13 tiles cut from one stomach biopsy slide.
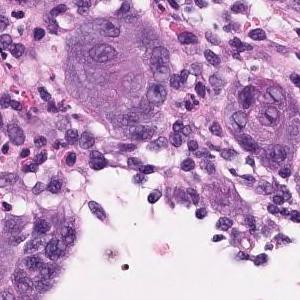
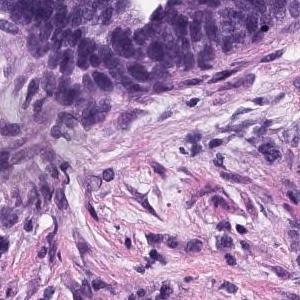
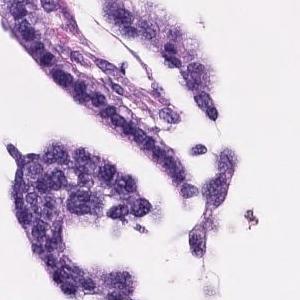
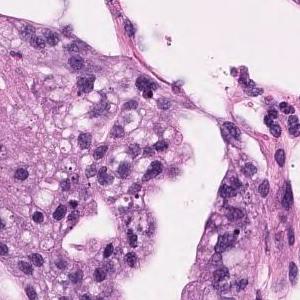
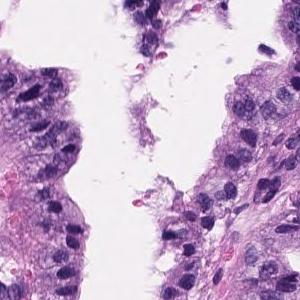
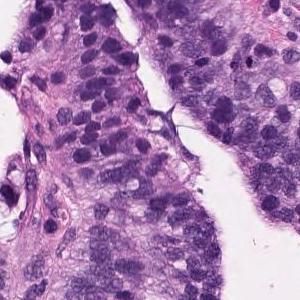
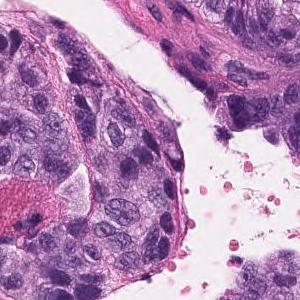
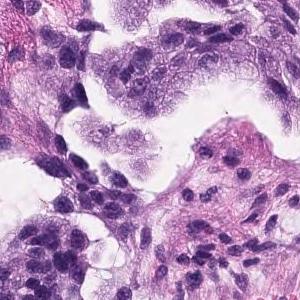
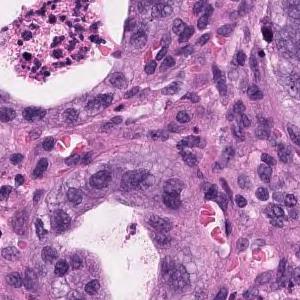
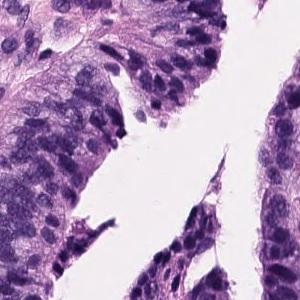
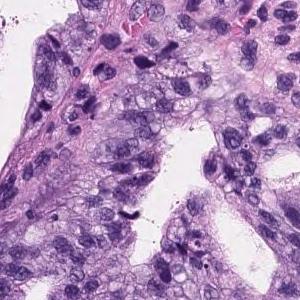
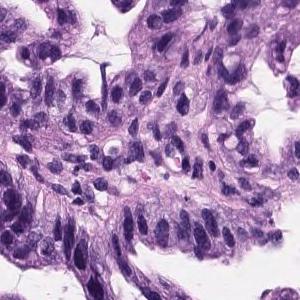
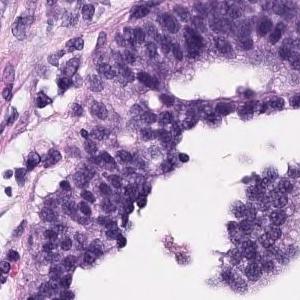
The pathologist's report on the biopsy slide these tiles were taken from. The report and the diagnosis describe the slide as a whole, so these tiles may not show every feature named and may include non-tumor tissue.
Tumor cells are large, highly columnar, large club-shaped nuclei, and are associated with chromatin aggregation. Papillary adenocarcinoma.
